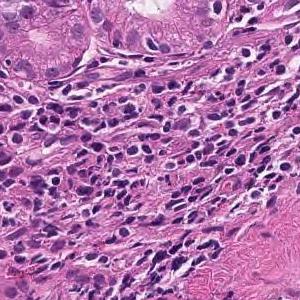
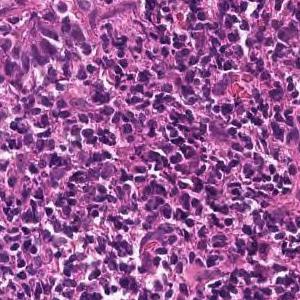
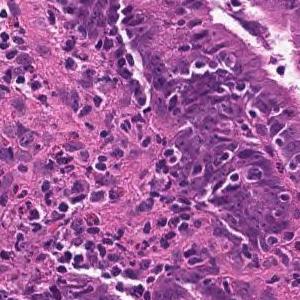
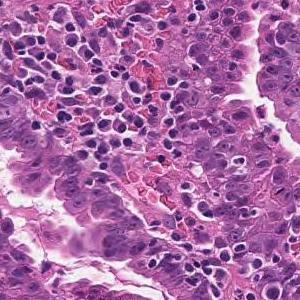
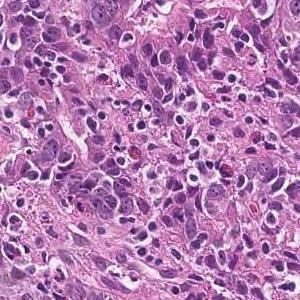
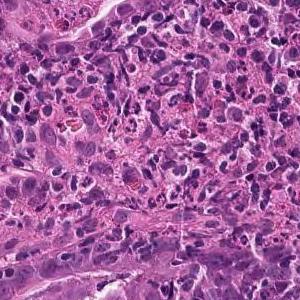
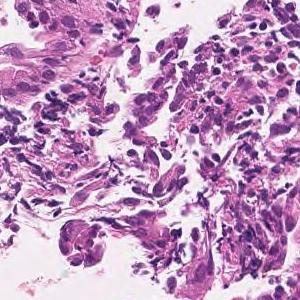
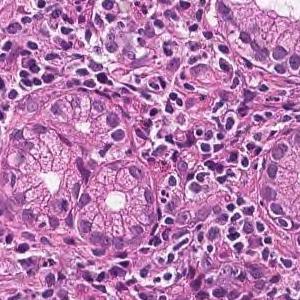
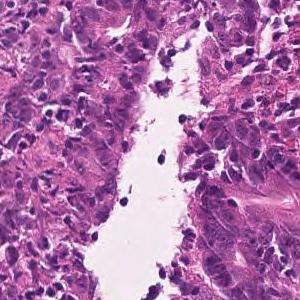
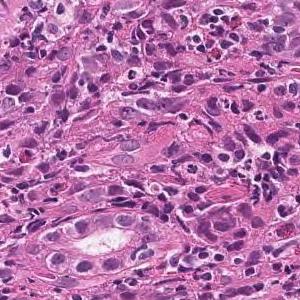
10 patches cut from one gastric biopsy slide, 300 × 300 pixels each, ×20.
The pathologist's report on the biopsy slide these tiles were taken from. Both the report and the diagnosis are for the whole slide: these tiles need not show every feature named, and some of the tissue shown may not be tumor.
Tumor tissue consisting of medium-sized, cord-like or irregular glandular infiltration is observed in the superficial epithelium. Poorly differentiated adenocarcinoma, non-solid type or moderately differentiated tubular adenocarcinoma
Dataset label: poorly differentiated adenocarcinoma, non-solid type.
The non-solid type named here is a Japanese Classification of Gastric Carcinoma category.
